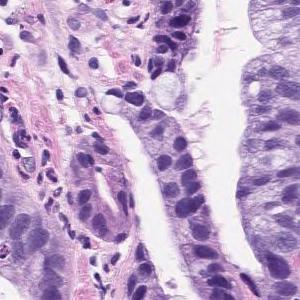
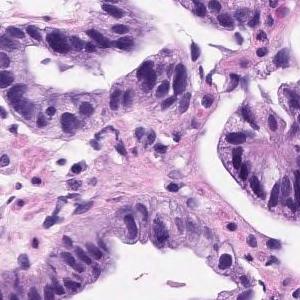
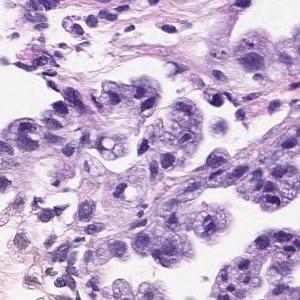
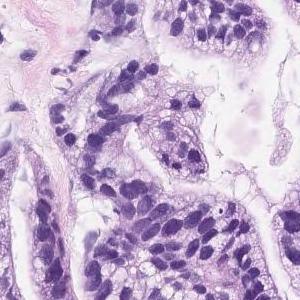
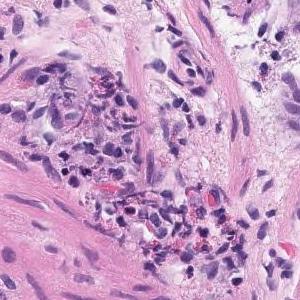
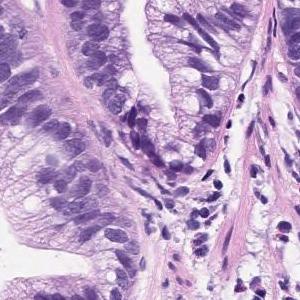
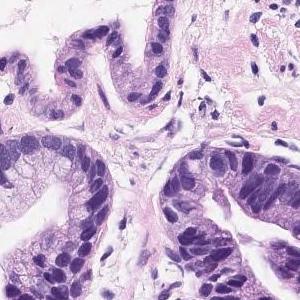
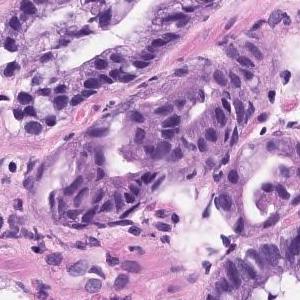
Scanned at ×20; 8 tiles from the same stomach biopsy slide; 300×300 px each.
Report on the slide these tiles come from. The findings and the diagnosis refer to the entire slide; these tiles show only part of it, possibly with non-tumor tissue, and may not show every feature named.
The superficial tumors shows large papillary structures or large and small ducts and infiltrates. Papillary adenocarcinoma.
